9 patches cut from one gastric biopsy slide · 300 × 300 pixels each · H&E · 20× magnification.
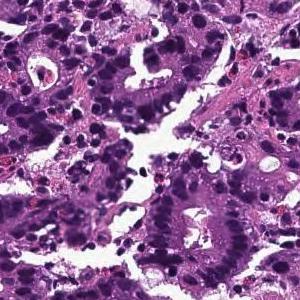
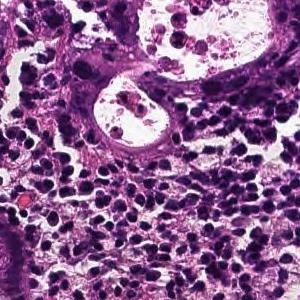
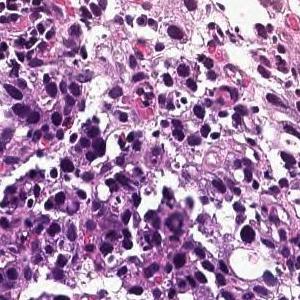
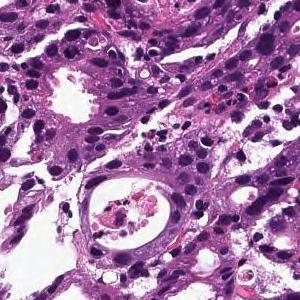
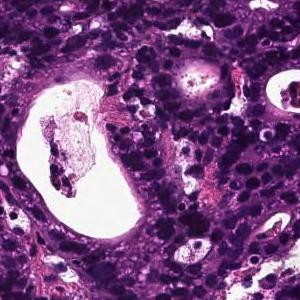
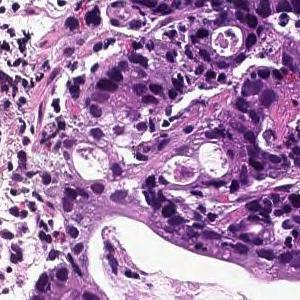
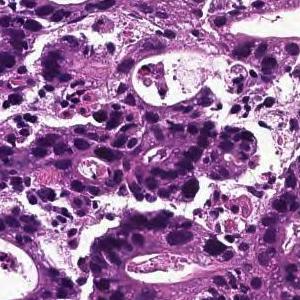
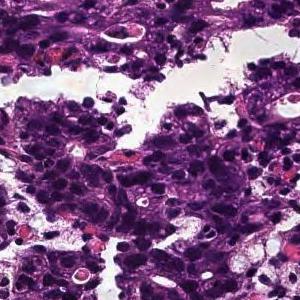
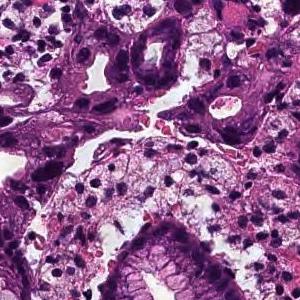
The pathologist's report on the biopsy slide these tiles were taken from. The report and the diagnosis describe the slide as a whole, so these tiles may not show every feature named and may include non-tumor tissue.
In the superficial epithelium, tumor tissue that invades by forming medium-sized to small, irregular ducts is observed. moderately differentiated tubular adenocarcinoma.
